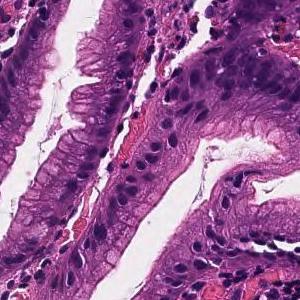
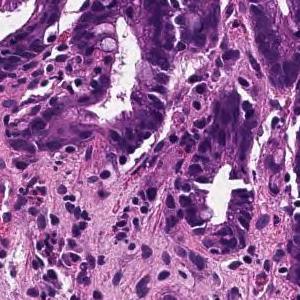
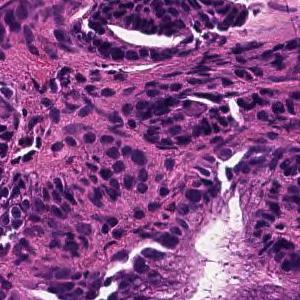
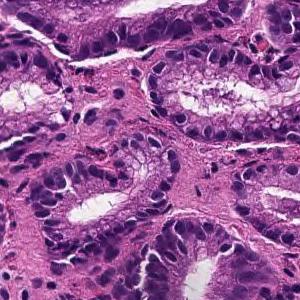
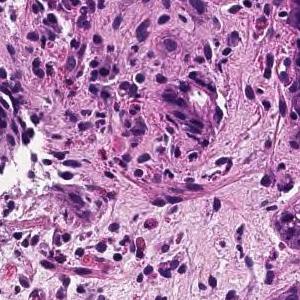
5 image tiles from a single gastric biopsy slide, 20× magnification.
Report on the slide these tiles come from. Both the report and the diagnosis are for the whole slide: these tiles need not show every feature named, and some of the tissue shown may not be tumor.
From the superficial epithelium to the muscularis mucosae, tumor tissue consisting of medium-sized and irregular glandular ducts infiltrating is observed. Well differentiated tubular adenocarcinoma
